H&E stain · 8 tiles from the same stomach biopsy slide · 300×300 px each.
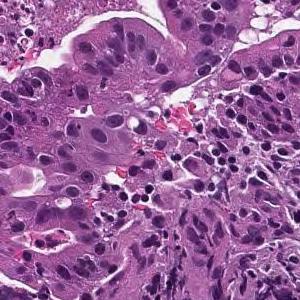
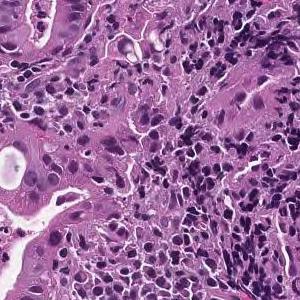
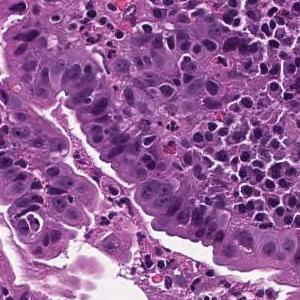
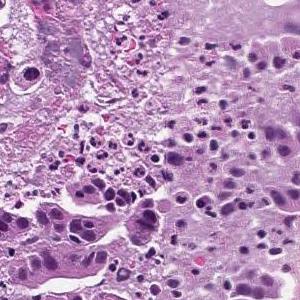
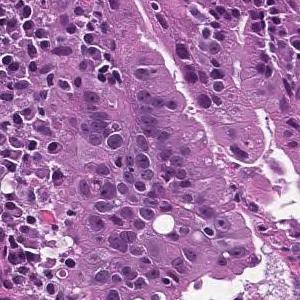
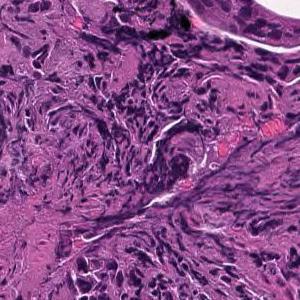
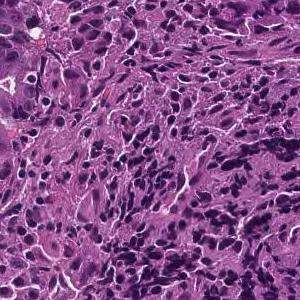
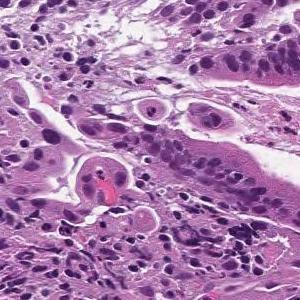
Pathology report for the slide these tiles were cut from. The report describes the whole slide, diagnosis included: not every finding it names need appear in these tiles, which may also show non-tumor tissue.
From the superficial epithelium to the muscularis mucosae, tumor tissue consisting of medium-sized and irregular glandular ducts infiltrating is observed. Well differentiated tubular adenocarcinoma
